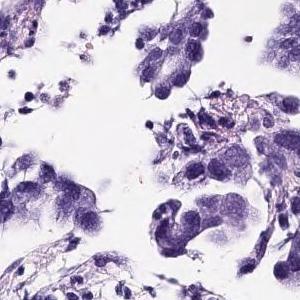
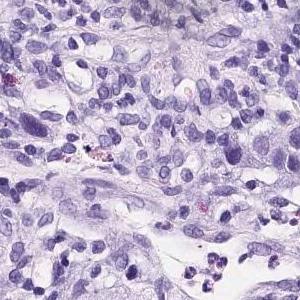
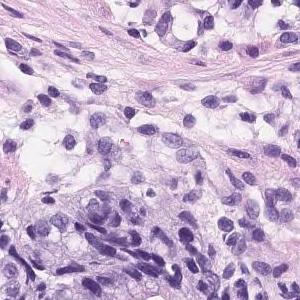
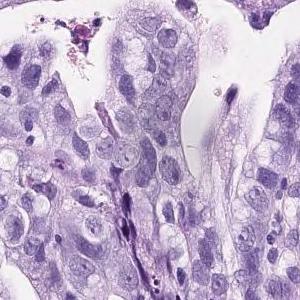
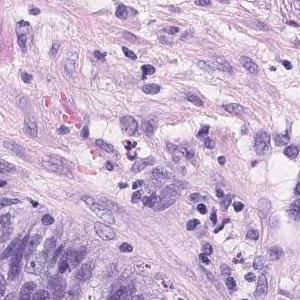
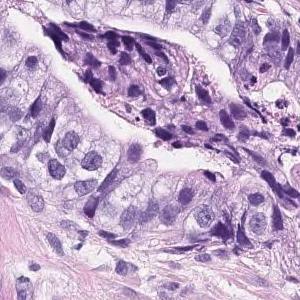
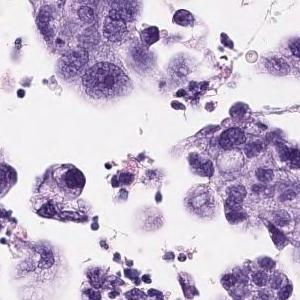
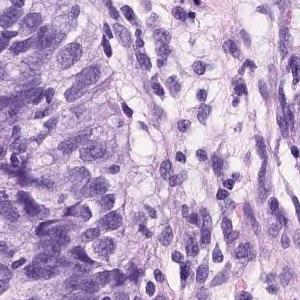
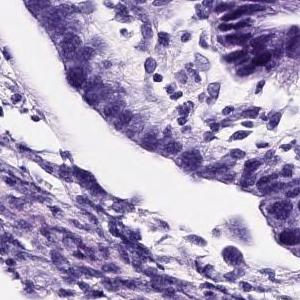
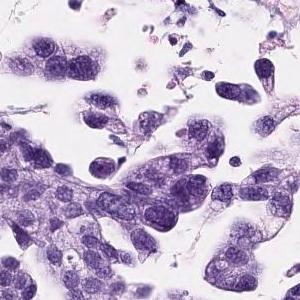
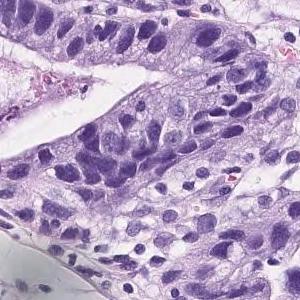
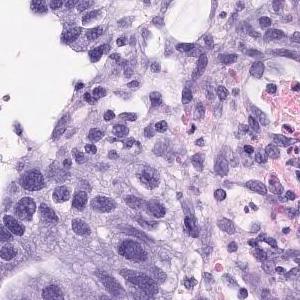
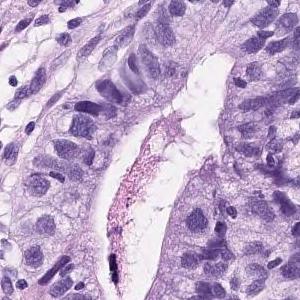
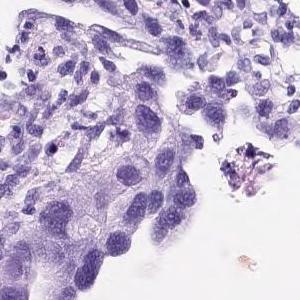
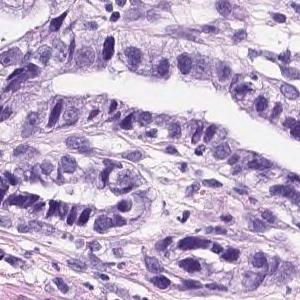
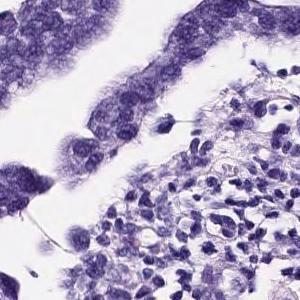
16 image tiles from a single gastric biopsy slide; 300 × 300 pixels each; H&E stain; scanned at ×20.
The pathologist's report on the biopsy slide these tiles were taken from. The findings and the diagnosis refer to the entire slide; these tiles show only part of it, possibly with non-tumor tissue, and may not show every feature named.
On the superficial epithelium, tumor tissue consisting of medium to small irregular tubules partially fused and proliferated is observed. moderately differentiated tubular adenocarcinoma
